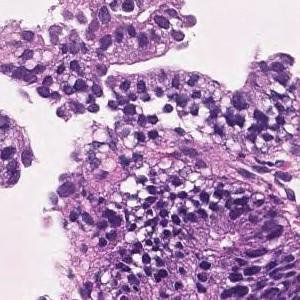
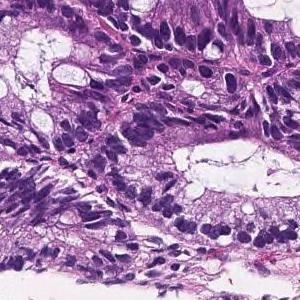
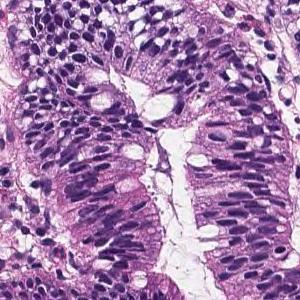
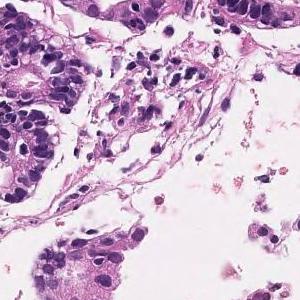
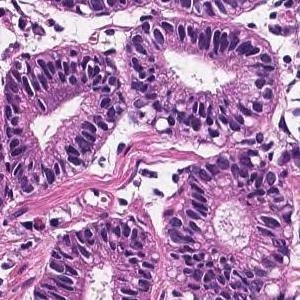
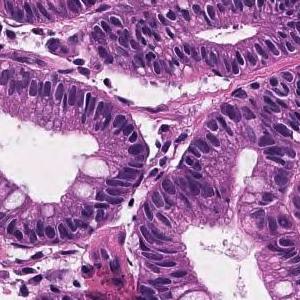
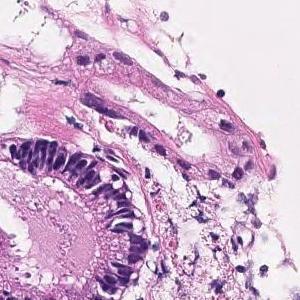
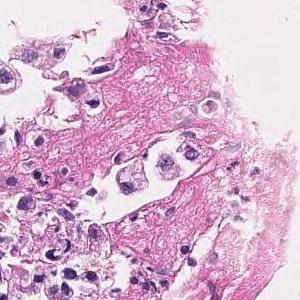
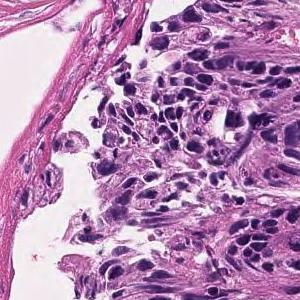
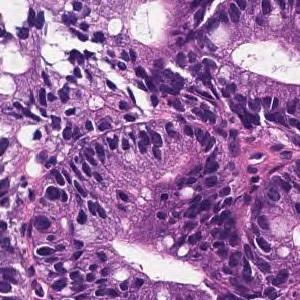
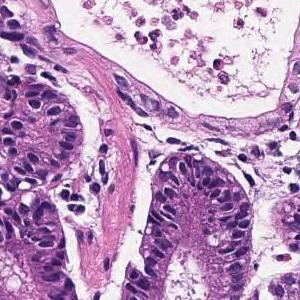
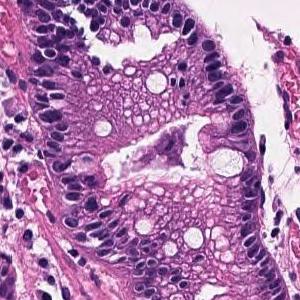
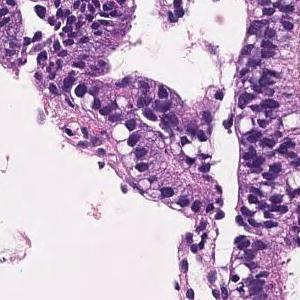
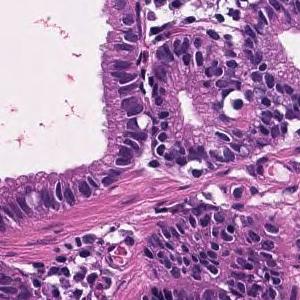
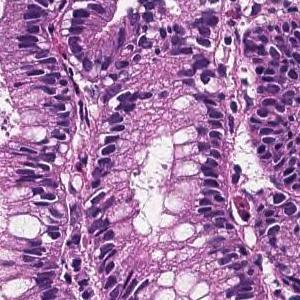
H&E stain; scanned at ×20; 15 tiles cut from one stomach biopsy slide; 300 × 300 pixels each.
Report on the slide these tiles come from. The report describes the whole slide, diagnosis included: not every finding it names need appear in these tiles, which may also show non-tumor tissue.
Most remain in the superficial epithelium, forming medium-sized papillary or small irregular ducts and proliferating, and some tumor tissue invades the muscularis mucosae. Papillary adenocarcinoma
